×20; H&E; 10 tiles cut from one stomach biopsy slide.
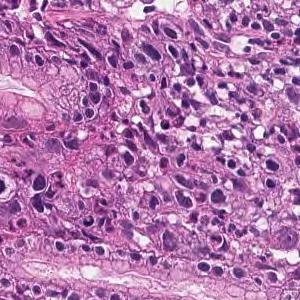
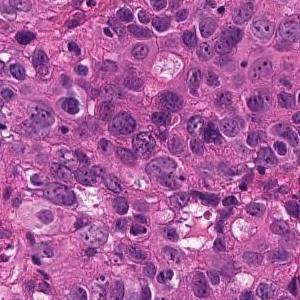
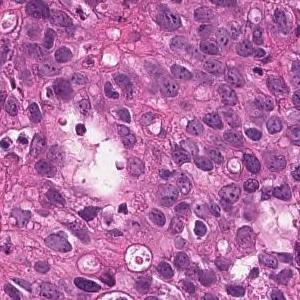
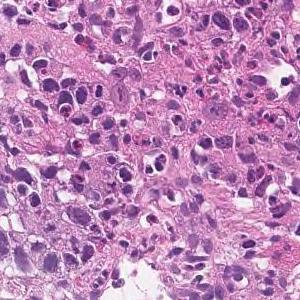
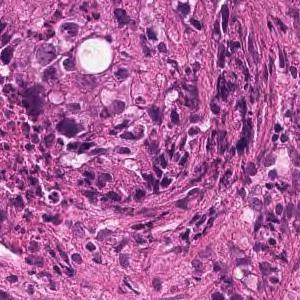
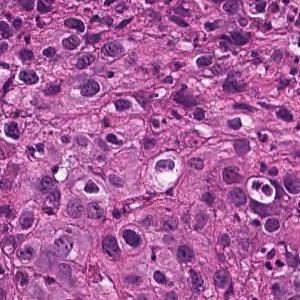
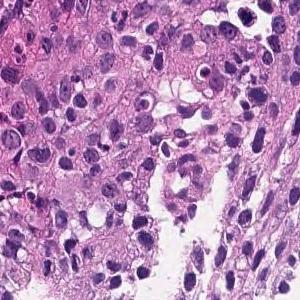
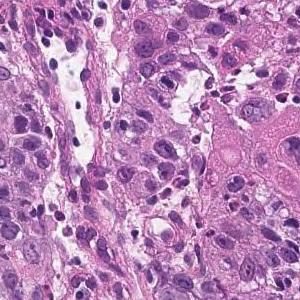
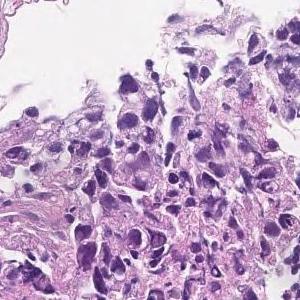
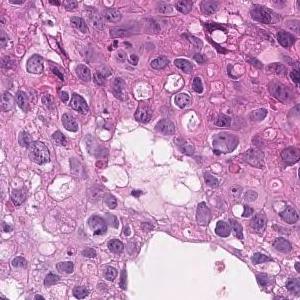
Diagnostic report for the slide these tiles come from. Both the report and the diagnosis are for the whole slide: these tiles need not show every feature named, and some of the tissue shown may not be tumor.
The superficial epithelium shows a large sheet-like shape, and some tumor tissue infiltrates with small irregular ducts. Poorly differentiated adenocarcinoma, solid-type
Subtype: Poorly differentiated adenocarcinoma, solid type (Japanese Classification of Gastric Carcinoma). The WHO 2019 equivalent is tubular adenocarcinoma, poorly differentiated.
